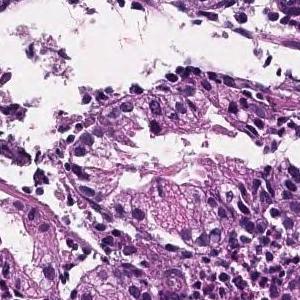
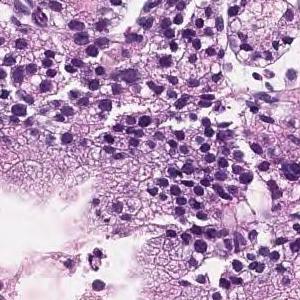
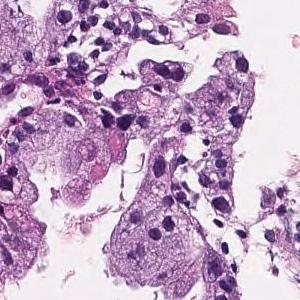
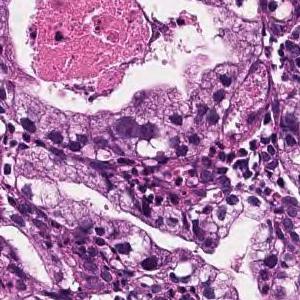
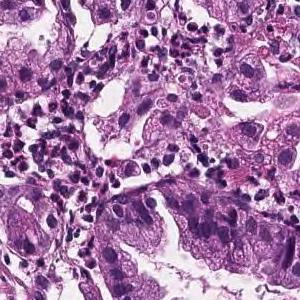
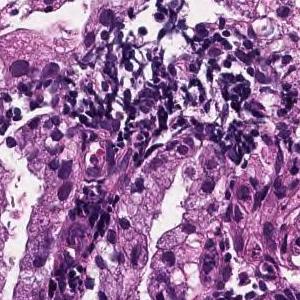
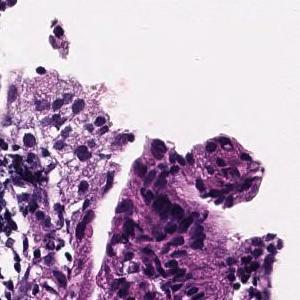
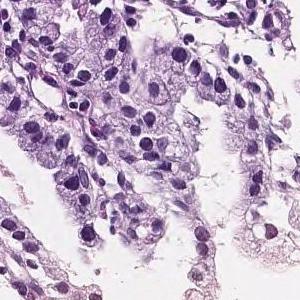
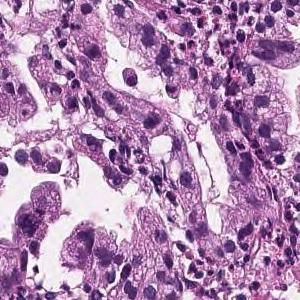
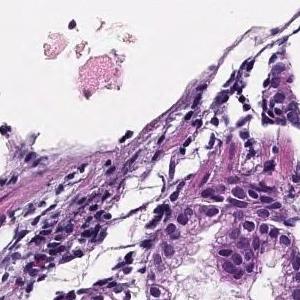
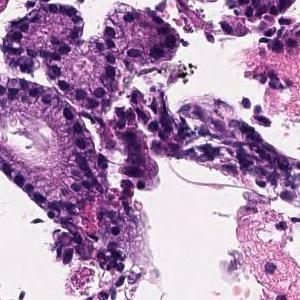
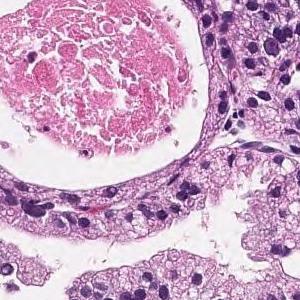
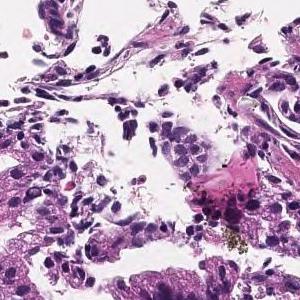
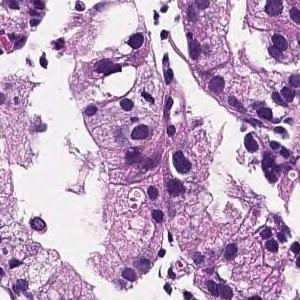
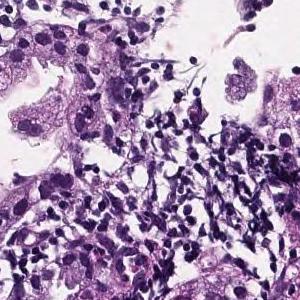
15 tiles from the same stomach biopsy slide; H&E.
The pathologist's report on the biopsy slide these tiles were taken from. What the report and the diagnosis say applies to the whole slide; these tiles may miss some of the features named and may include tissue that is not tumor.
In the superficial epithelium, tumor tissue that infiltrates by forming medium-sized papillary or small irregular ducts is observed. Papillary adenocarcinoma
